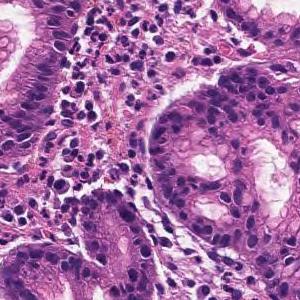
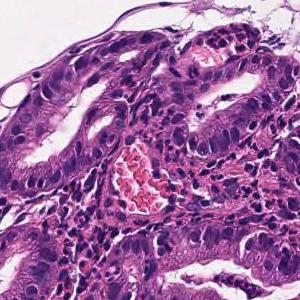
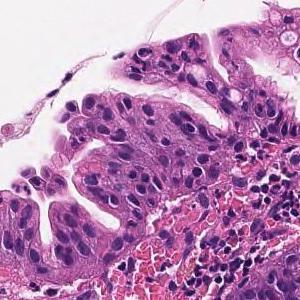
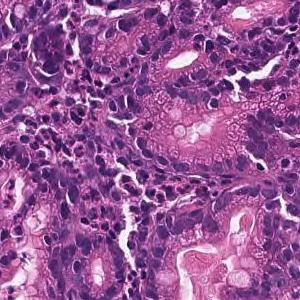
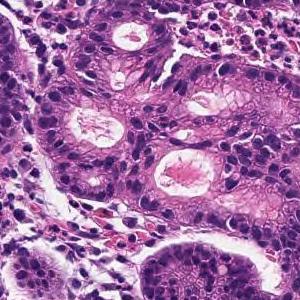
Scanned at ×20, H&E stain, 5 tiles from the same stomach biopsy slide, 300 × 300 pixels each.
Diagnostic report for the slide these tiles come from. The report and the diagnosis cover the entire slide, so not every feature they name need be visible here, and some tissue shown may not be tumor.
Tumor tissue infiltrated and proliferated with small to medium-sized irregular tubules is observed in the superficial epithelium. Well differentiated tubular adenocarcinoma
